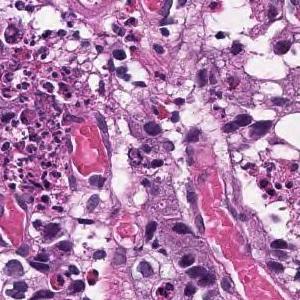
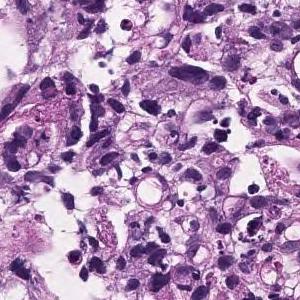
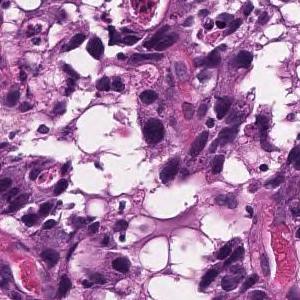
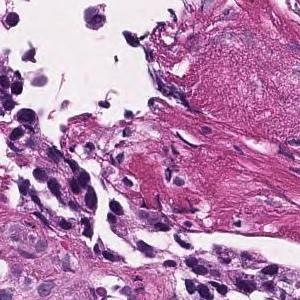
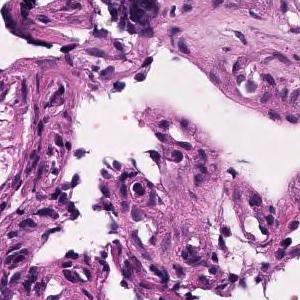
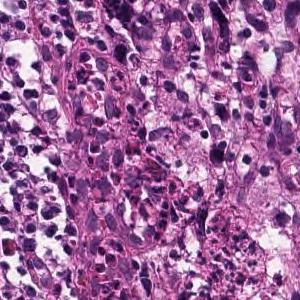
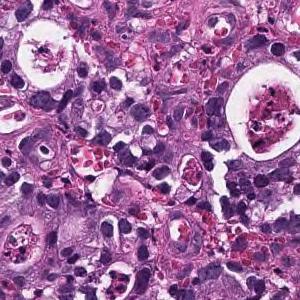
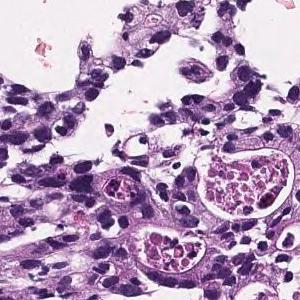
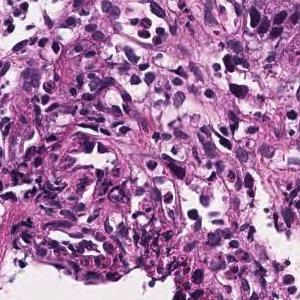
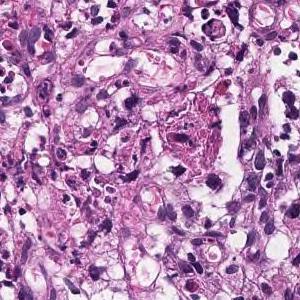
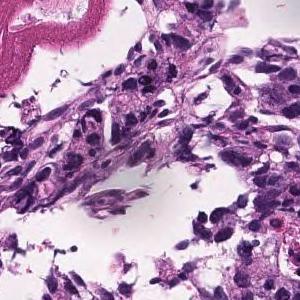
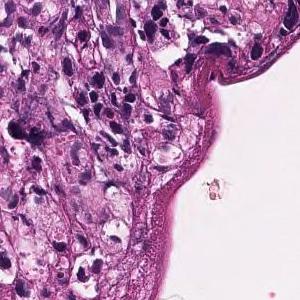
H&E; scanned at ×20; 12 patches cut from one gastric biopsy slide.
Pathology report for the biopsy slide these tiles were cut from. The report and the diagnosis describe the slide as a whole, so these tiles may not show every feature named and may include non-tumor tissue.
Tumor tissue consisting of medium-sized, cord-like or irregular glandular infiltration is observed in the superficial epithelium. Poorly differentiated adenocarcinoma, non-solid type or moderately differentiated tubular adenocarcinoma
The term "non-solid type" comes from the Japanese Classification of Gastric Carcinoma.
